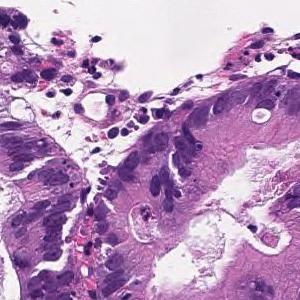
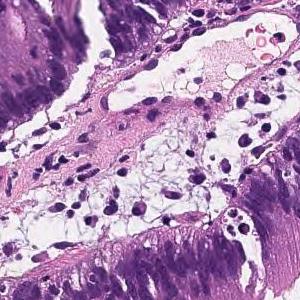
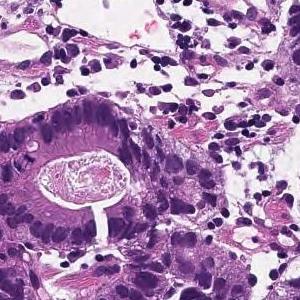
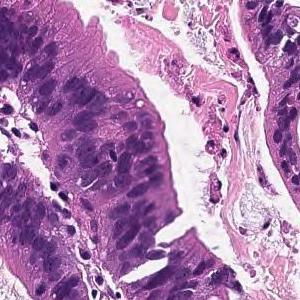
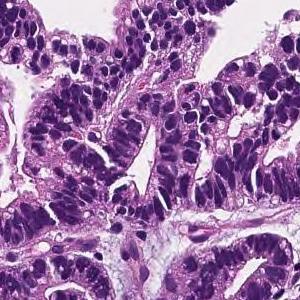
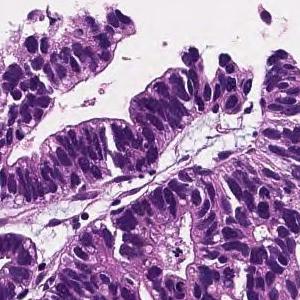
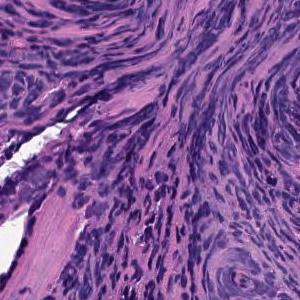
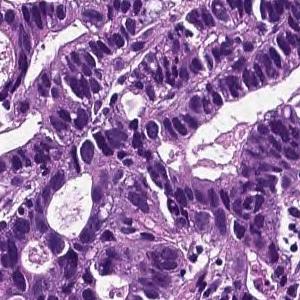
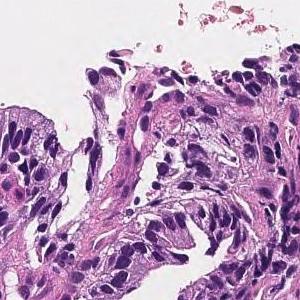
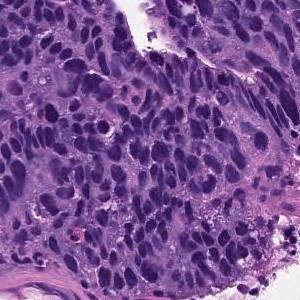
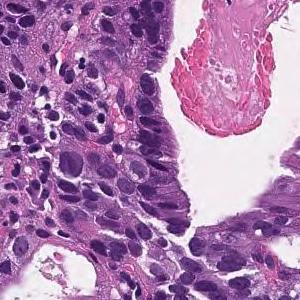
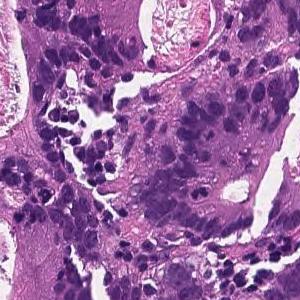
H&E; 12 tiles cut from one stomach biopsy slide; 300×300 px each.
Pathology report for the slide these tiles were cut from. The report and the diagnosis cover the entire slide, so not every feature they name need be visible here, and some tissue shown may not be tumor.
In the superficial epithelium, tumor tissue that invades by forming medium-sized to small, irregular ducts is observed. moderately differentiated tubular adenocarcinoma.
